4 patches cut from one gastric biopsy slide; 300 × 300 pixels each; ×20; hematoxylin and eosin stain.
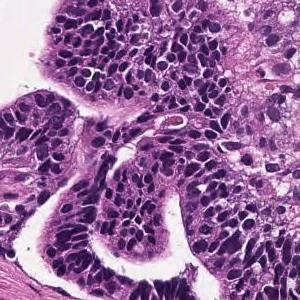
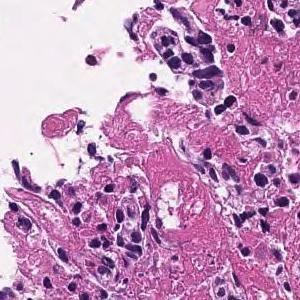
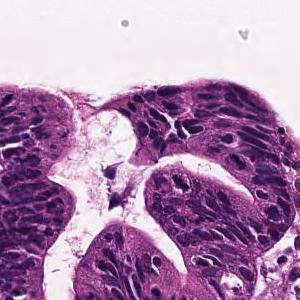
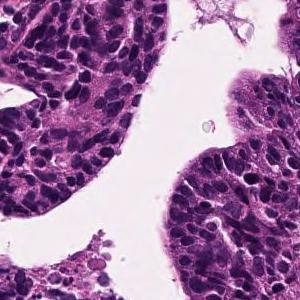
Pathology report for the slide these tiles were cut from. Both the report and the diagnosis are for the whole slide: these tiles need not show every feature named, and some of the tissue shown may not be tumor.
In the superficial epithelium, tumor tissue that invades by forming medium-sized to small, irregular ducts is observed. Well differentiated tubular adenocarcinoma.
